13 image tiles from a single gastric biopsy slide; each 300 × 300 pixels; 20× magnification.
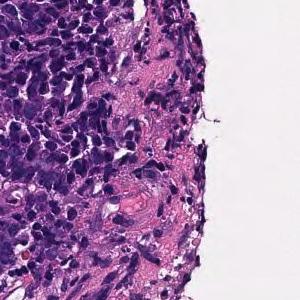
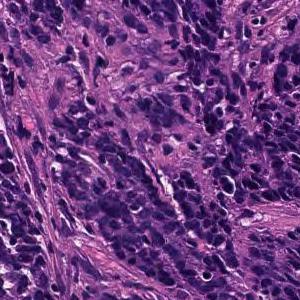
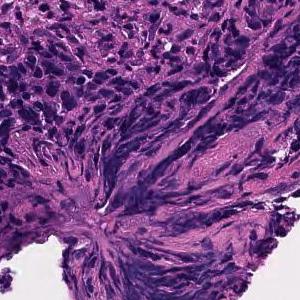
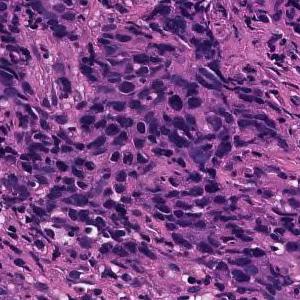
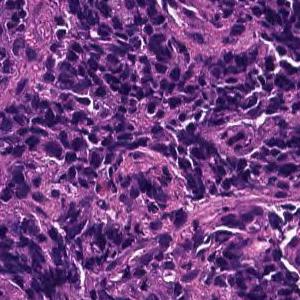
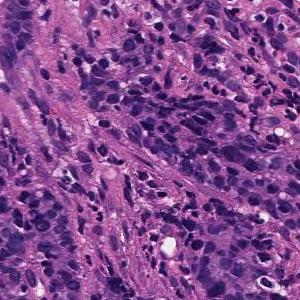
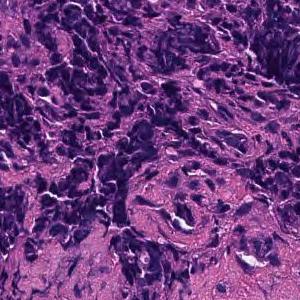
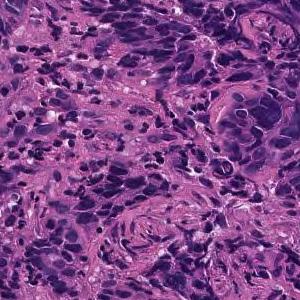
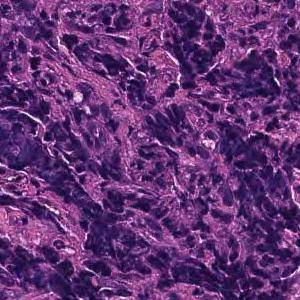
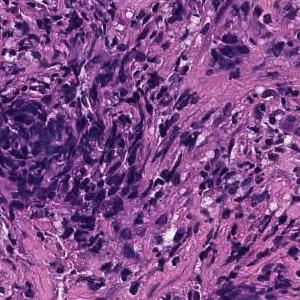
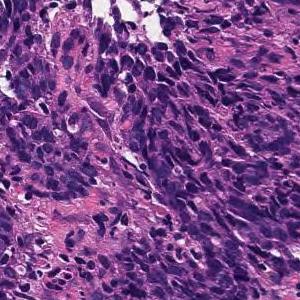
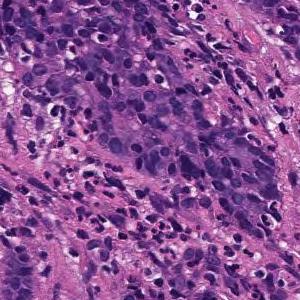
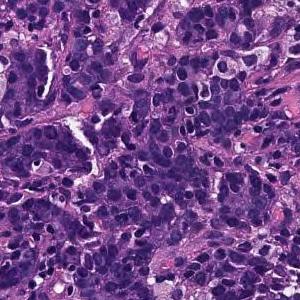
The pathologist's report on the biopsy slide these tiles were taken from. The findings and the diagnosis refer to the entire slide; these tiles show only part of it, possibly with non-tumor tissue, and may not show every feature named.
Tumor tissue consisting of cord-like or small, irregular glandular ducts fused and infiltrated is observed in the superficial epithelium. Poorly differentiated adenocarcinoma, non-solid type
"Non-solid type" is a category of the Japanese Classification of Gastric Carcinoma.
